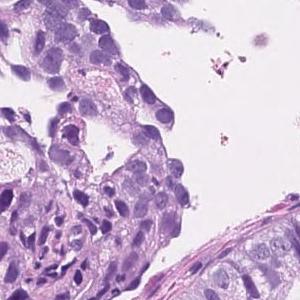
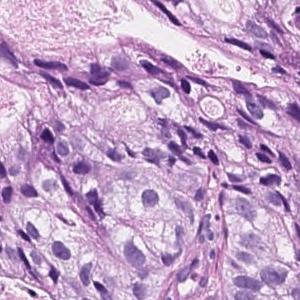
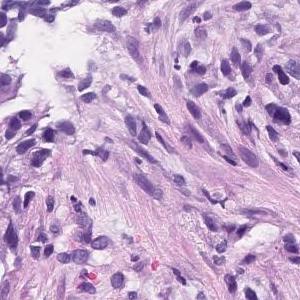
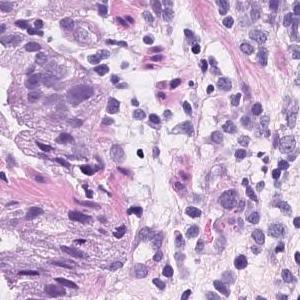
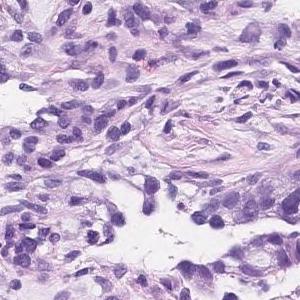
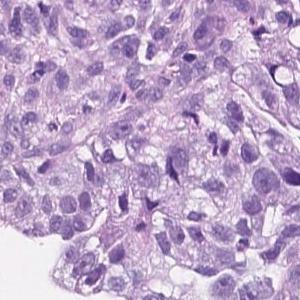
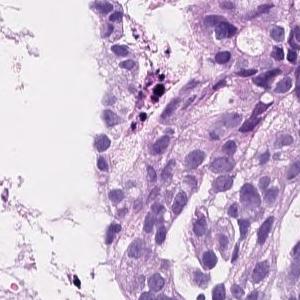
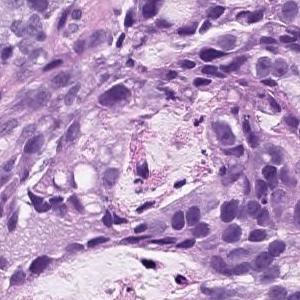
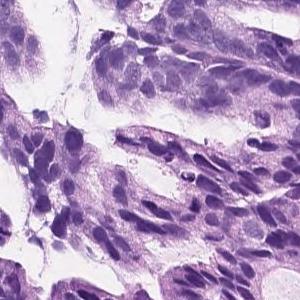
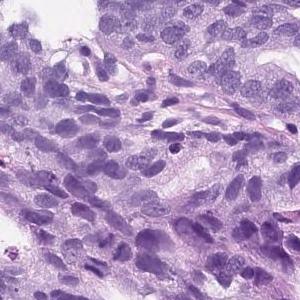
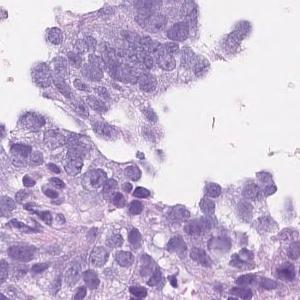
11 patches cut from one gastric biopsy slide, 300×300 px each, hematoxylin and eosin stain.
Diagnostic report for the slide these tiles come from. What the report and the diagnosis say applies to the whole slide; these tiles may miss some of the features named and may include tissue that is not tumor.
On the superficial epithelium, tumor tissue consisting of an image of large, irregular glandular ducts partially fused and infiltrated is observed. Well to moderately differentiated tubular adenocarcinoma
